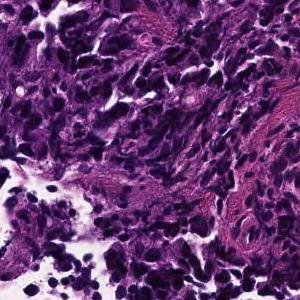
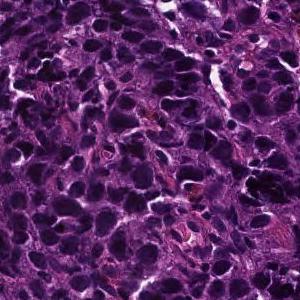
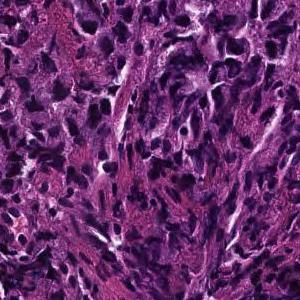
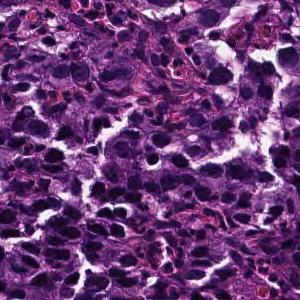
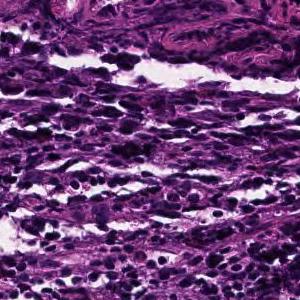
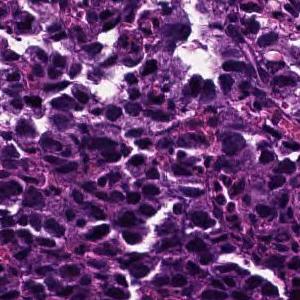
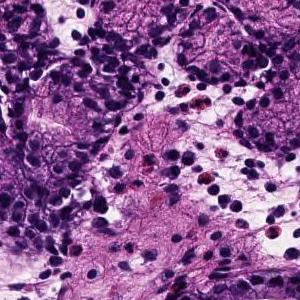
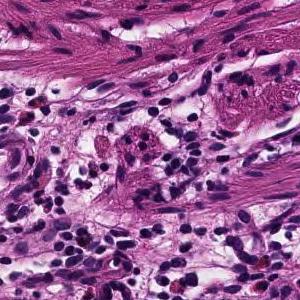
8 tiles cut from one stomach biopsy slide · 300 × 300 pixels each · scanned at ×20 · hematoxylin and eosin stain.
Pathology report for the slide these tiles were cut from. The findings and the diagnosis refer to the entire slide; these tiles show only part of it, possibly with non-tumor tissue, and may not show every feature named.
The superficial epithelium shows a large sheet-like shape, and some tumor tissues infiltrate with a small cord-like structure. Poorly differentiated adenocarcinoma, solid type (poorly differentiated adenocarcinoma, solid type)
Subtype: Poorly differentiated adenocarcinoma, solid type. This name comes from the Japanese Classification of Gastric Carcinoma; the WHO 2019 classification calls it tubular adenocarcinoma, poorly differentiated.
